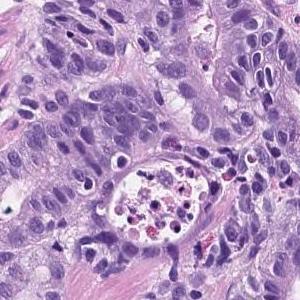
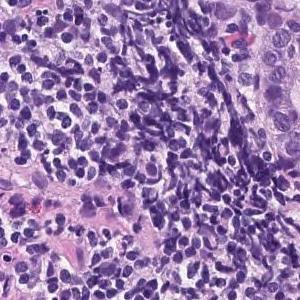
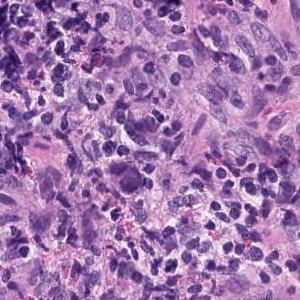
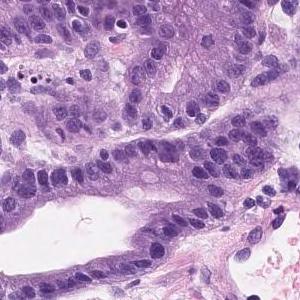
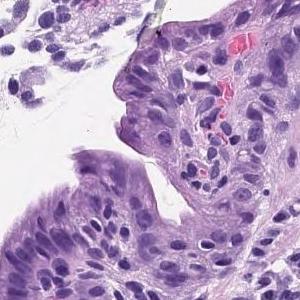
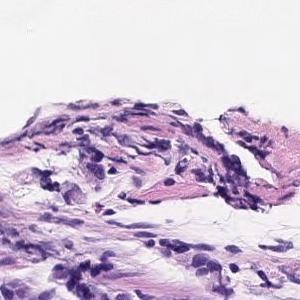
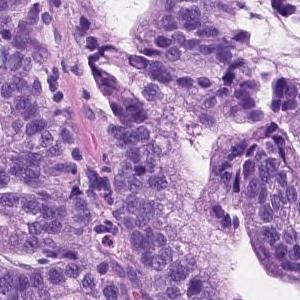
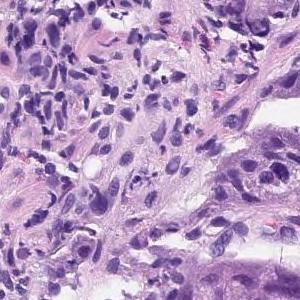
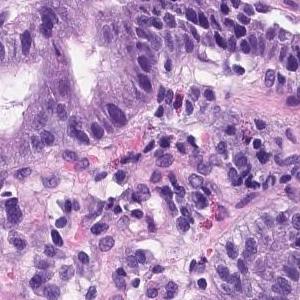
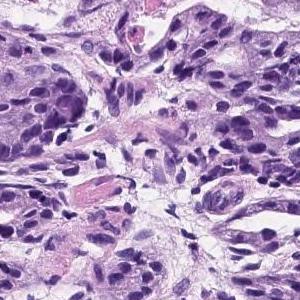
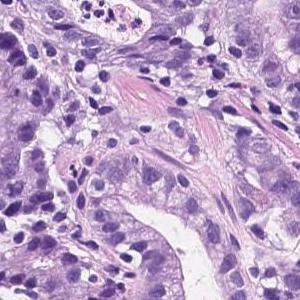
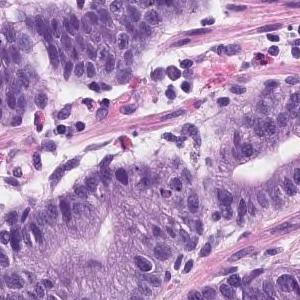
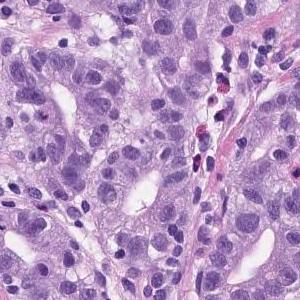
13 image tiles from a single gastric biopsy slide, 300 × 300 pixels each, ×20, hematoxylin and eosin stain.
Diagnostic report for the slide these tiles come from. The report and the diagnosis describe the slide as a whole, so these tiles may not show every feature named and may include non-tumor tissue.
Tumor tissue consisting of medium-sized and irregular ducts is observed infiltrating in the superficial epithelium. Tumor cells are highly columnar, with nuclei aligned basolaterally and polarized. Well differentiated tubular adenocarcinoma.
